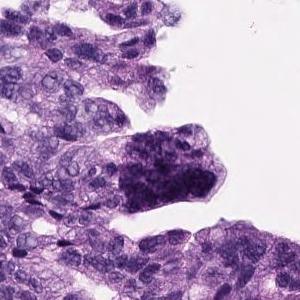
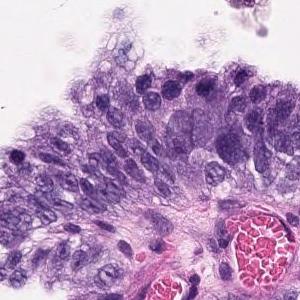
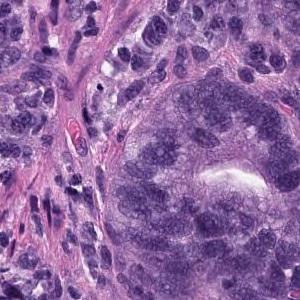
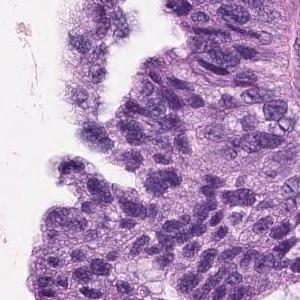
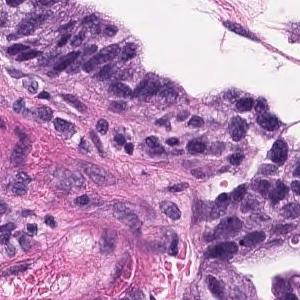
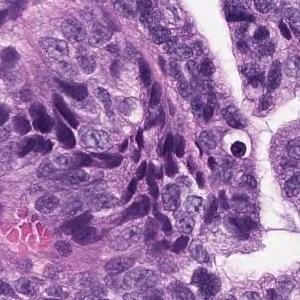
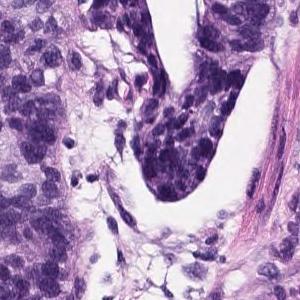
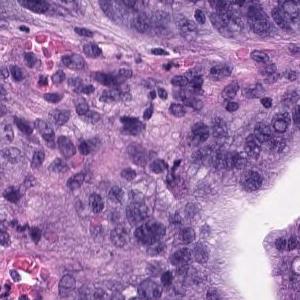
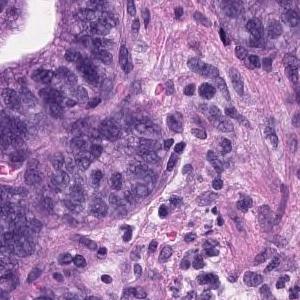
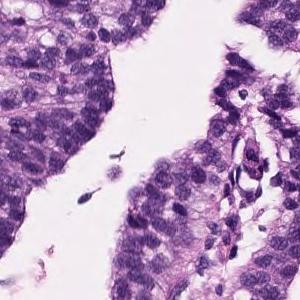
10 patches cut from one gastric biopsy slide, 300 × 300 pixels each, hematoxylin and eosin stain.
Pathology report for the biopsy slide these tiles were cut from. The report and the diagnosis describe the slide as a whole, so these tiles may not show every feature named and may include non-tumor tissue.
Tumor cells are large, highly columnar, large club-shaped nuclei, and are associated with chromatin aggregation. Papillary adenocarcinoma.
